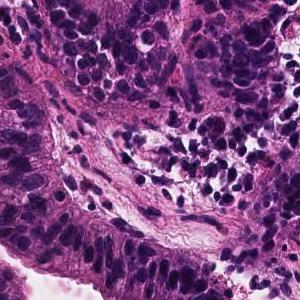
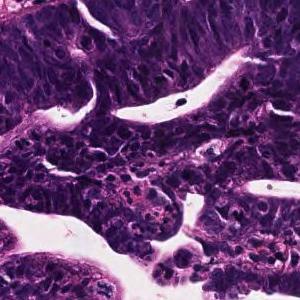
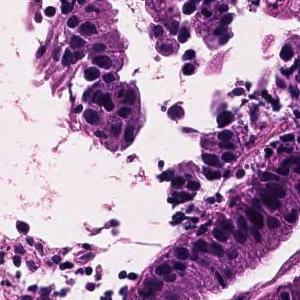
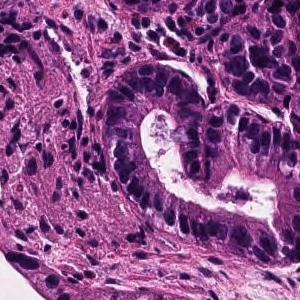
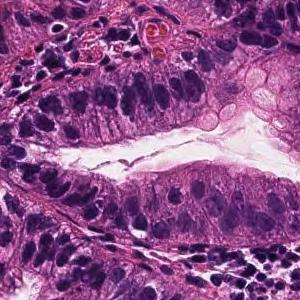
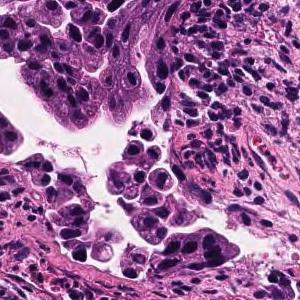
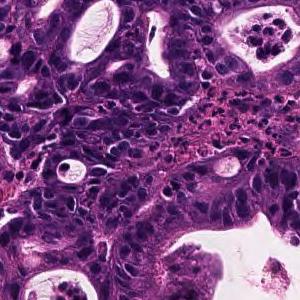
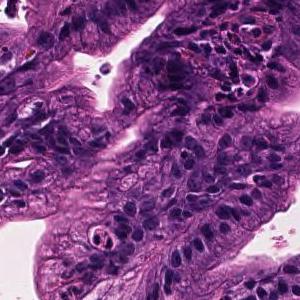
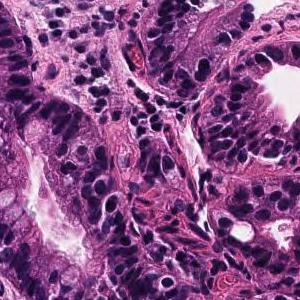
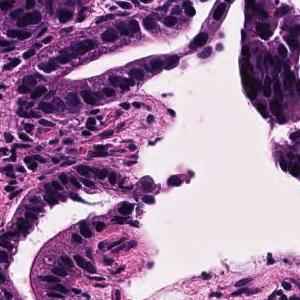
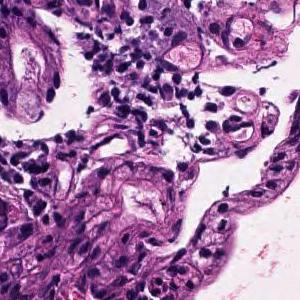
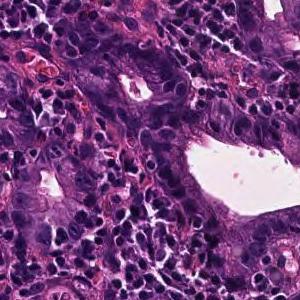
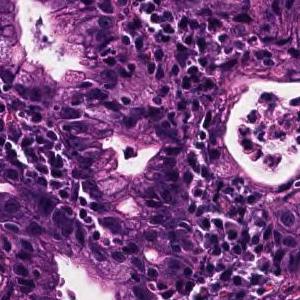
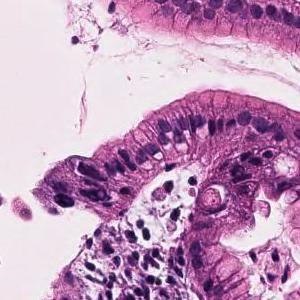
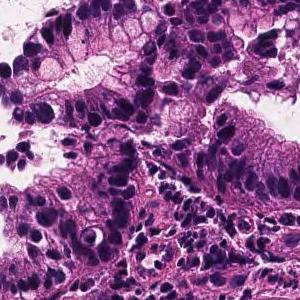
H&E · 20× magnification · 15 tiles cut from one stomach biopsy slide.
The pathologist's report on the biopsy slide these tiles were taken from. What the report and the diagnosis say applies to the whole slide; these tiles may miss some of the features named and may include tissue that is not tumor.
Tumor cells are large, highly columnar, large club-shaped nuclei, and are associated with chromatin aggregation. Papillary adenocarcinoma.
